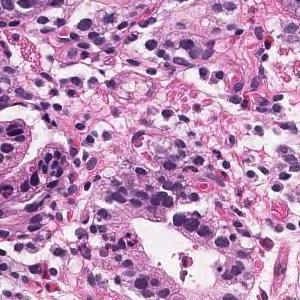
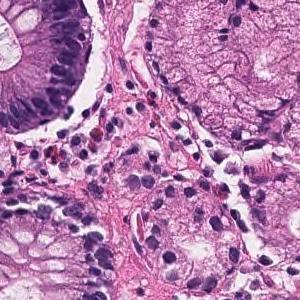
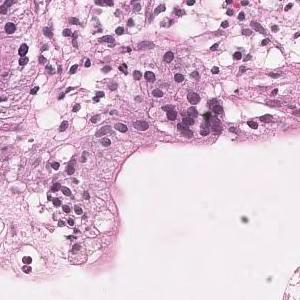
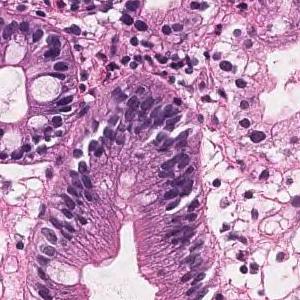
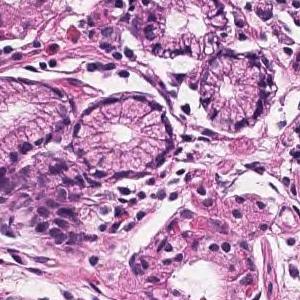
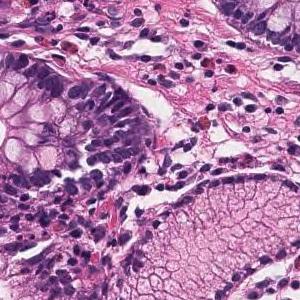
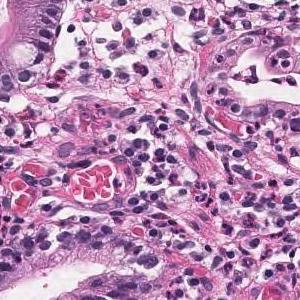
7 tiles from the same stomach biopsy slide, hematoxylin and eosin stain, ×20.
Report on the slide these tiles come from. The findings and the diagnosis refer to the entire slide; these tiles show only part of it, possibly with non-tumor tissue, and may not show every feature named.
On the superficial epithelium, tumor tissue consisting of large, irregular glandular ducts partially fused and infiltrated is observed. Well differentiated tubular adenocarcinoma
